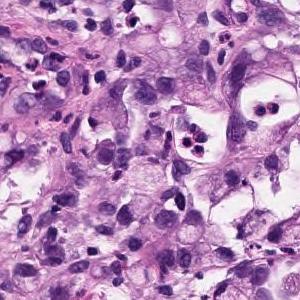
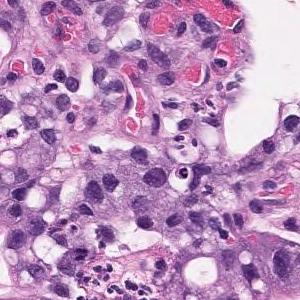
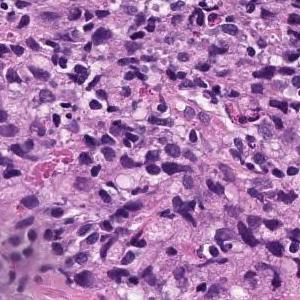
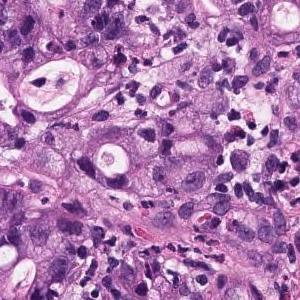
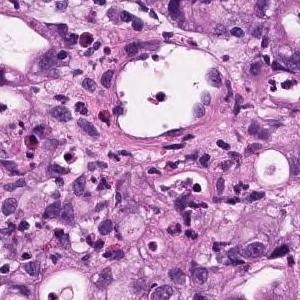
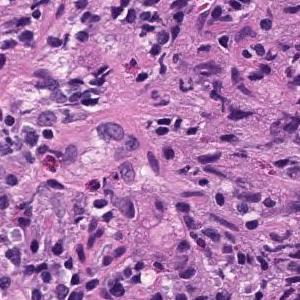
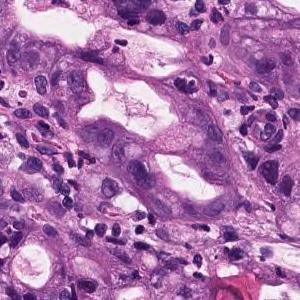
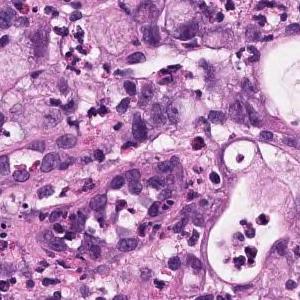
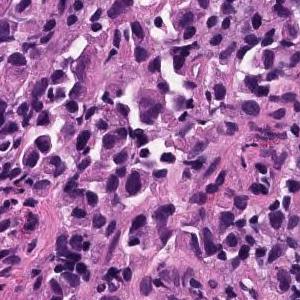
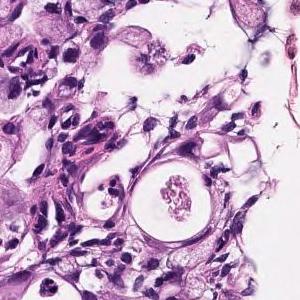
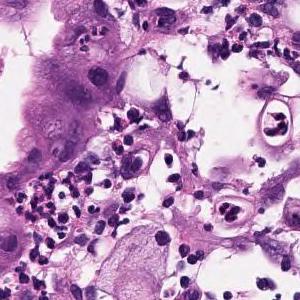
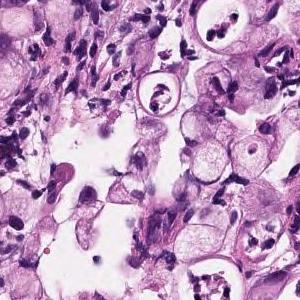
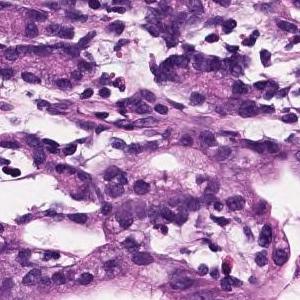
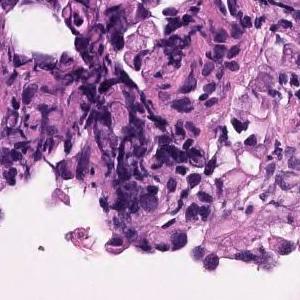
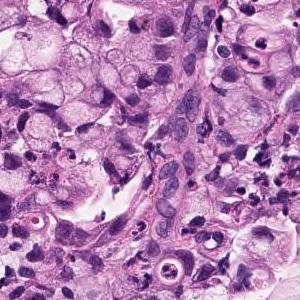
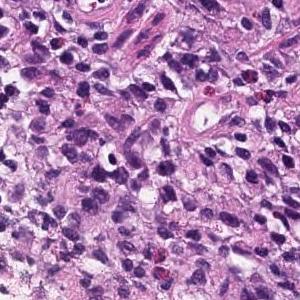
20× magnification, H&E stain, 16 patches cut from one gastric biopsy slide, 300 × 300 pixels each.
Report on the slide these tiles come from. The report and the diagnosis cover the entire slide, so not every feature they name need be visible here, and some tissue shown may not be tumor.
Atypical epithelium forms irregularly fused gland ducts and proliferates. Poorly differentiated adenocarcinoma.
Histological subtype: Poorly differentiated adenocarcinoma, non-solid type.
The term "non-solid type" comes from the Japanese Classification of Gastric Carcinoma.
